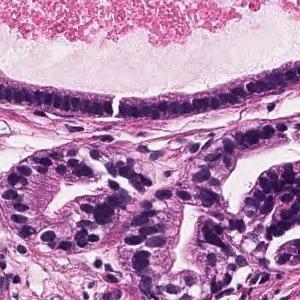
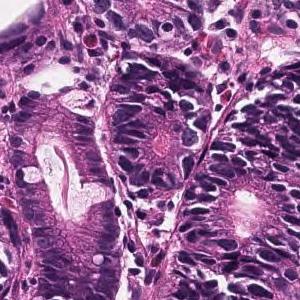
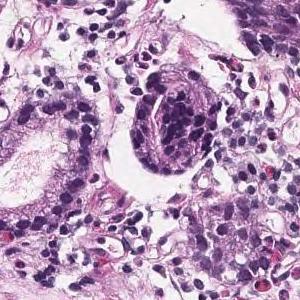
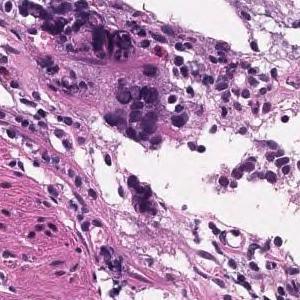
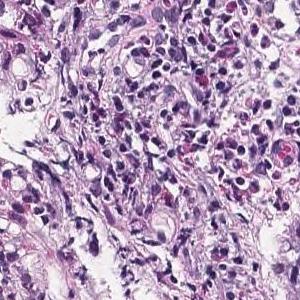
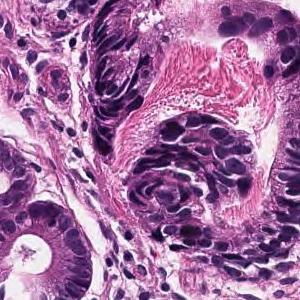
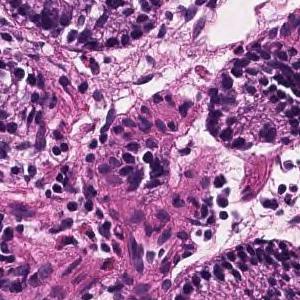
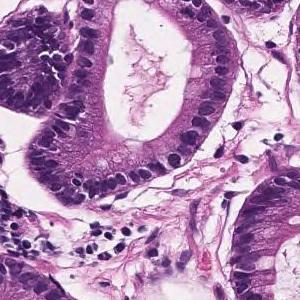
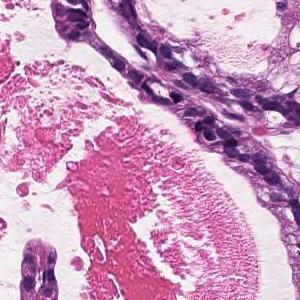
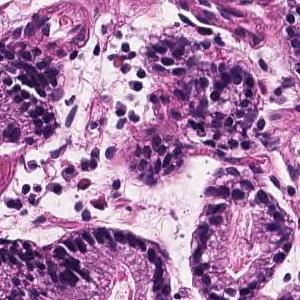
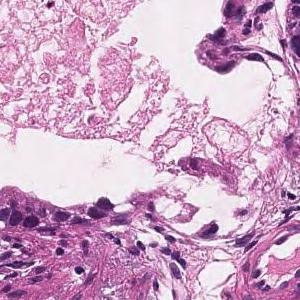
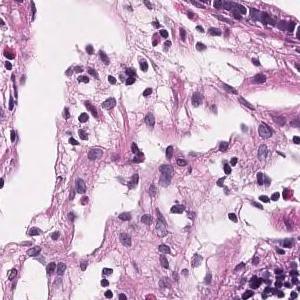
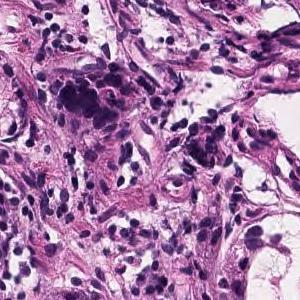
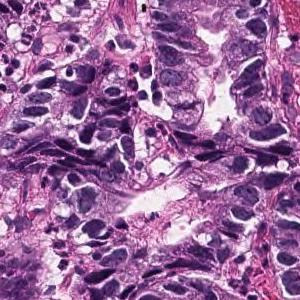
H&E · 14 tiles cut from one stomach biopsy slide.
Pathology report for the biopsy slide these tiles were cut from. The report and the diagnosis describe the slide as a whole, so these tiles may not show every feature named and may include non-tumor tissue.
Tumor tissue consisting of medium-sized and irregular ducts is observed infiltrating in the superficial epithelium. Tumor cells are highly columnar, with nuclei aligned basolaterally and polarized. Well differentiated tubular adenocarcinoma.
